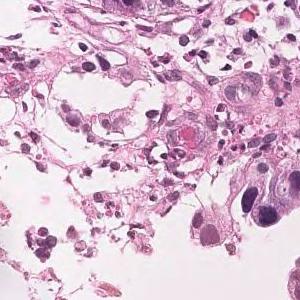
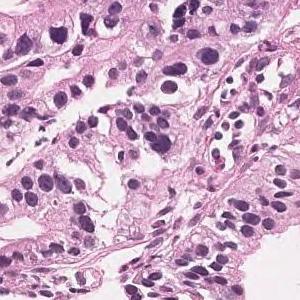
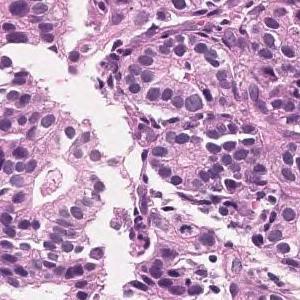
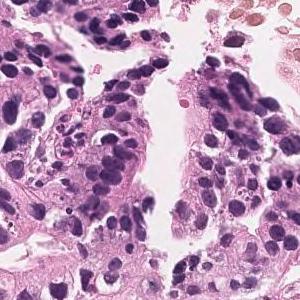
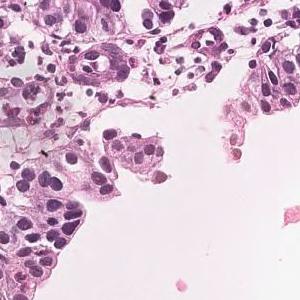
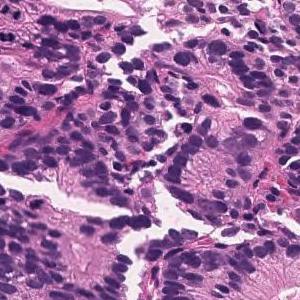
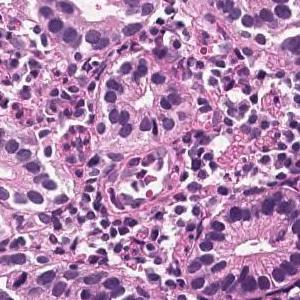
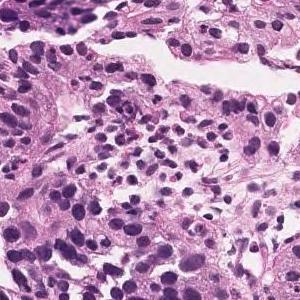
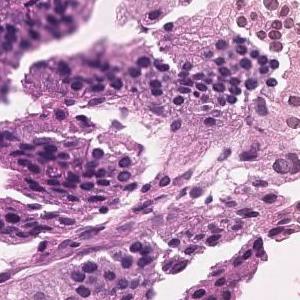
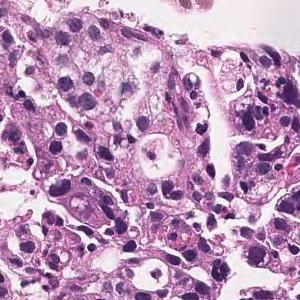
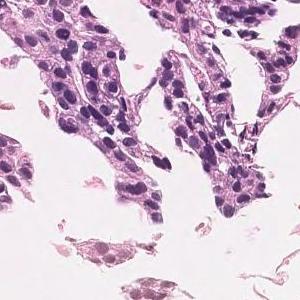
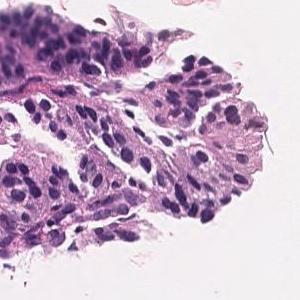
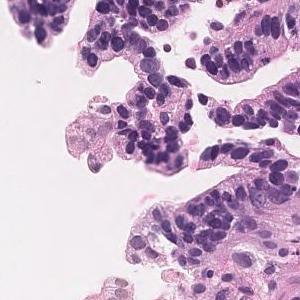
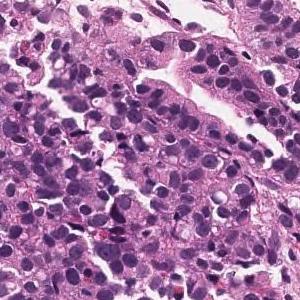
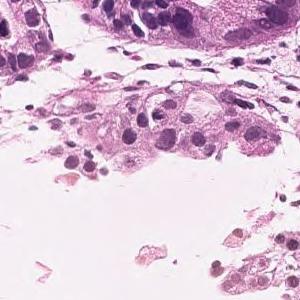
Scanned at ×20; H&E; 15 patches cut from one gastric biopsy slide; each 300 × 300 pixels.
Pathology report for the biopsy slide these tiles were cut from. The report and the diagnosis describe the slide as a whole, so these tiles may not show every feature named and may include non-tumor tissue.
In the superficial epithelium, tumor tissue that invades by forming medium-sized to small, irregular ducts is observed. moderately differentiated tubular adenocarcinoma.
